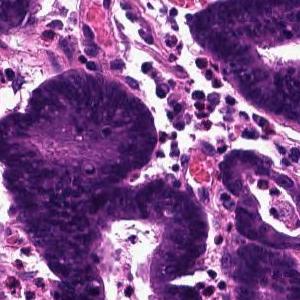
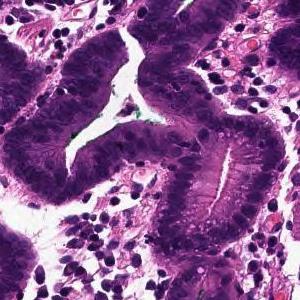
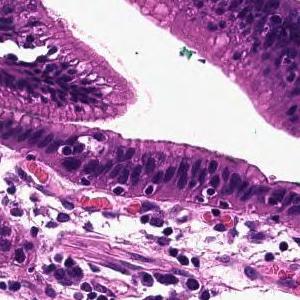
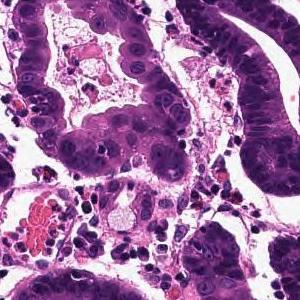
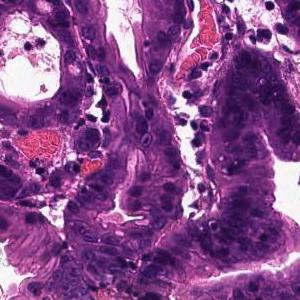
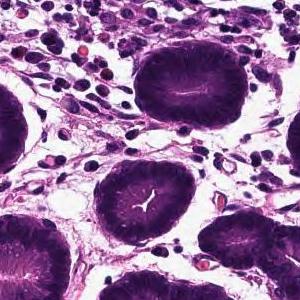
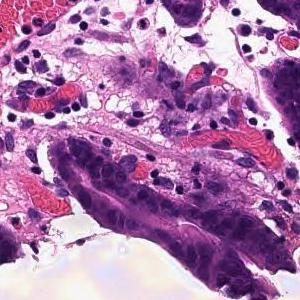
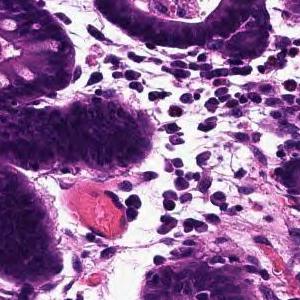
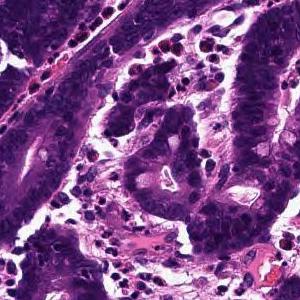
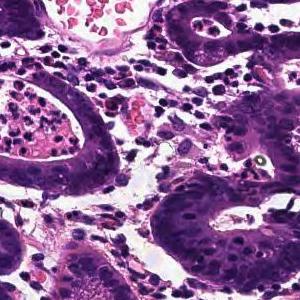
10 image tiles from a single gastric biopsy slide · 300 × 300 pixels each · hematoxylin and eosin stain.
Diagnostic report for the slide these tiles come from. The findings and the diagnosis refer to the entire slide; these tiles show only part of it, possibly with non-tumor tissue, and may not show every feature named.
Tumor tissue that infiltrates by forming large papillary or large irregular glandular ducts is observed confined to the mucosa. Papillary adenocarcinoma
